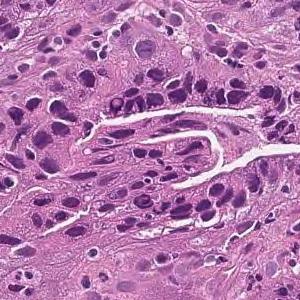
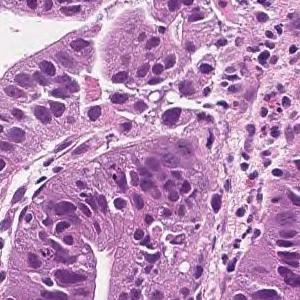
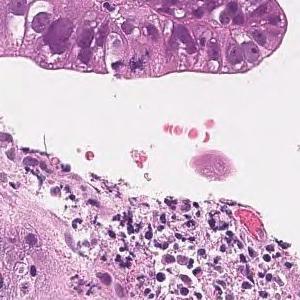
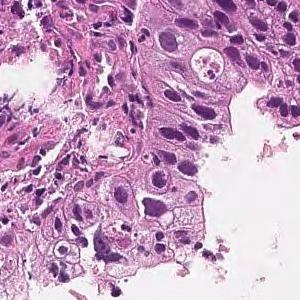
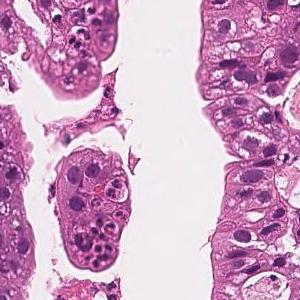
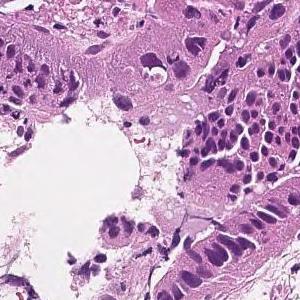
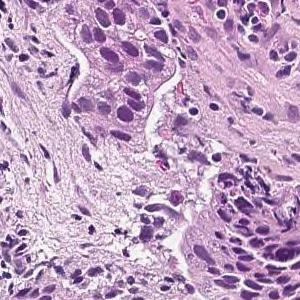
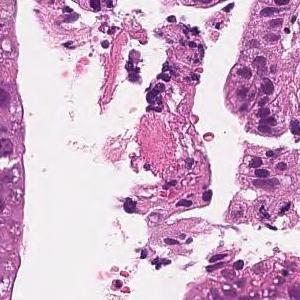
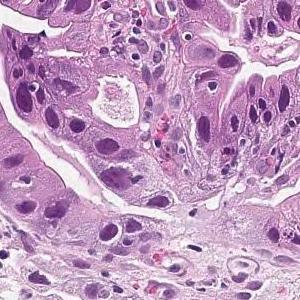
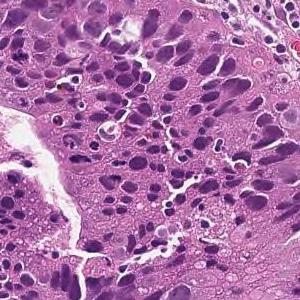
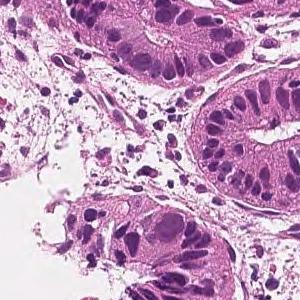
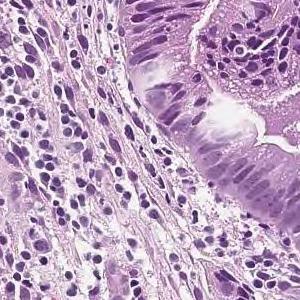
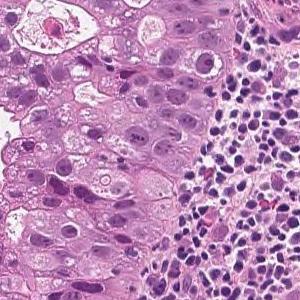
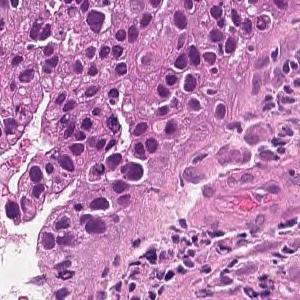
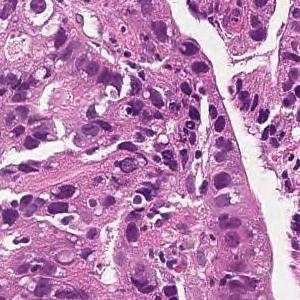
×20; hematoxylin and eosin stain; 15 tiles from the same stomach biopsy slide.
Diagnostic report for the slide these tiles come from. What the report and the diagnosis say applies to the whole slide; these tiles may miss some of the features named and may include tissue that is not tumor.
In the superficial epithelium, tumor tissue that invades by forming medium-sized to small, irregular ducts is observed. moderately differentiated tubular adenocarcinoma.
